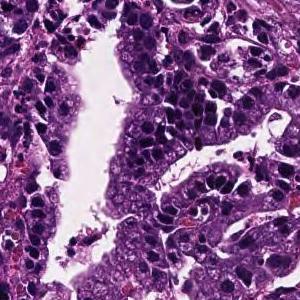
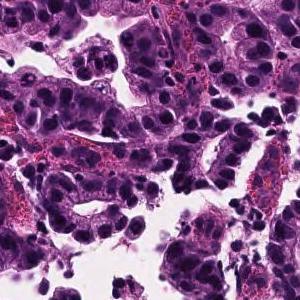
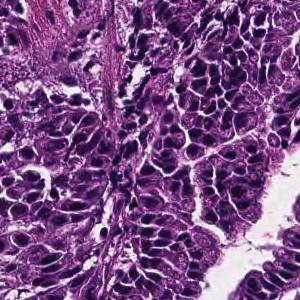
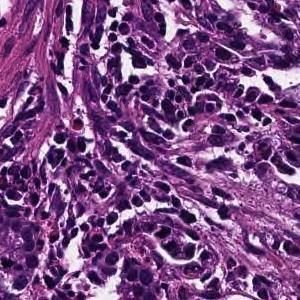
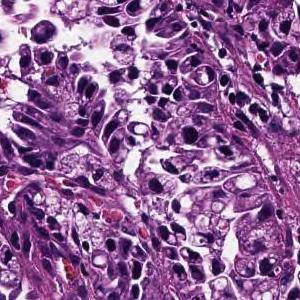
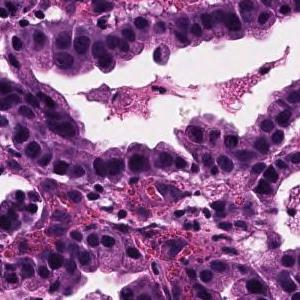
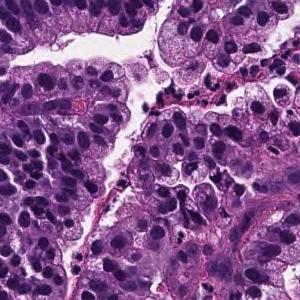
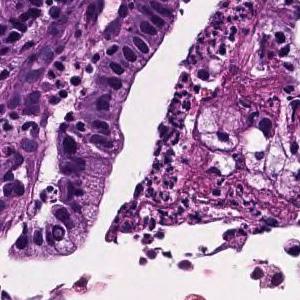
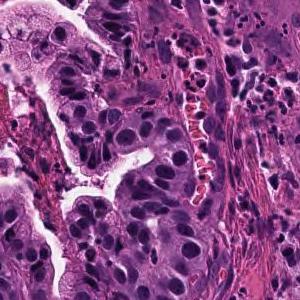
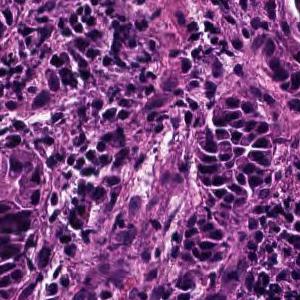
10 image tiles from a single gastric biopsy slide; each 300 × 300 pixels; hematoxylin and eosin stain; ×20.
Pathology report for the biopsy slide these tiles were cut from. The report and the diagnosis cover the entire slide, so not every feature they name need be visible here, and some tissue shown may not be tumor.
Tumor cells are large, highly columnar, large club-shaped nuclei, and are associated with chromatin aggregation. Papillary adenocarcinoma.
